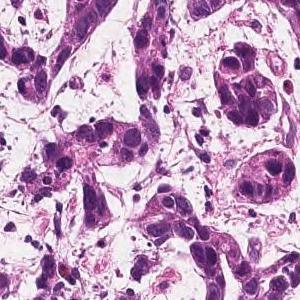
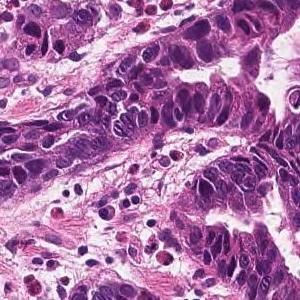
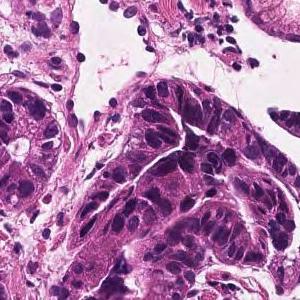
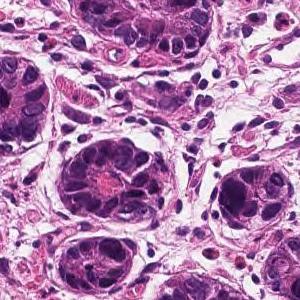
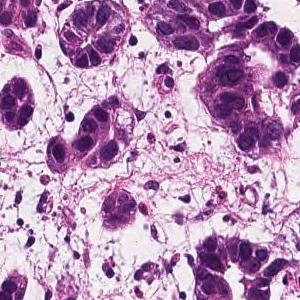
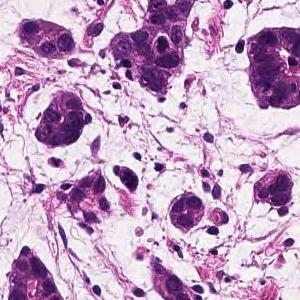
×20, 6 tiles cut from one stomach biopsy slide, each 300 × 300 pixels.
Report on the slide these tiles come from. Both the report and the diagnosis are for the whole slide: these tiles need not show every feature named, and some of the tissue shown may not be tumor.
In the superficial epithelium, tumor tissue that invades by forming medium-sized to small, irregular ducts is observed. Well differentiated tubular adenocarcinoma.
